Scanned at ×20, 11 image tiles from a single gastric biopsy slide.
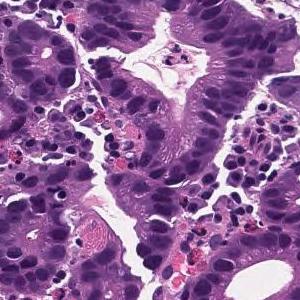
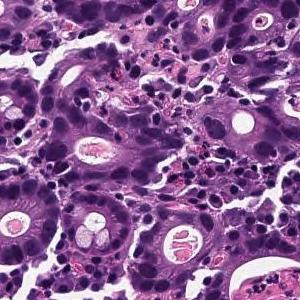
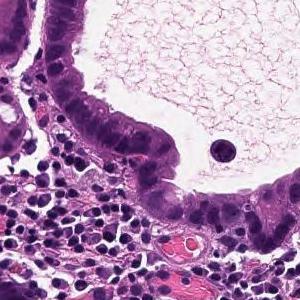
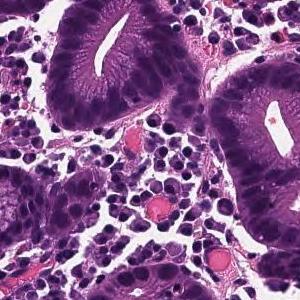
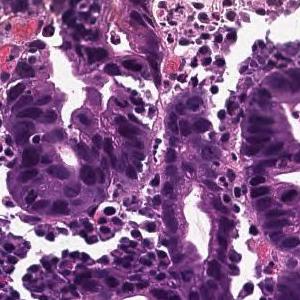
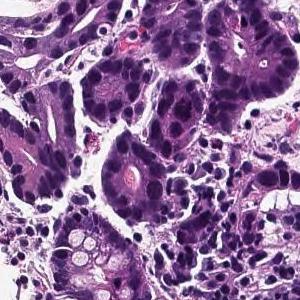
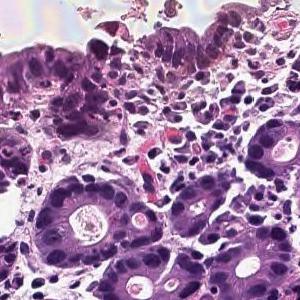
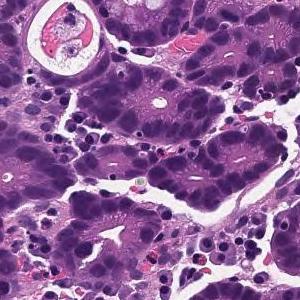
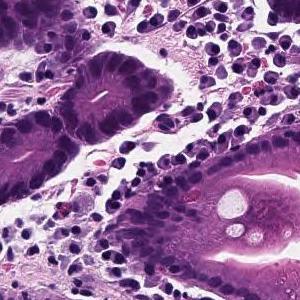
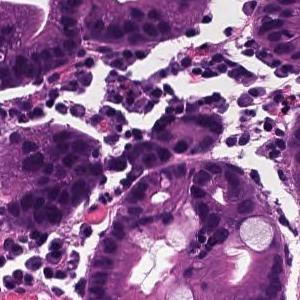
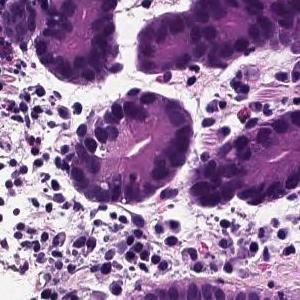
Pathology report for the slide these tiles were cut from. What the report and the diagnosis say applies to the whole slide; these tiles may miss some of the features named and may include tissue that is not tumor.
Cancer cells with strongly atypical nuclei grow while forming ducts showing lumens of various sizes. moderately differentiated tubular adenocarcinoma
